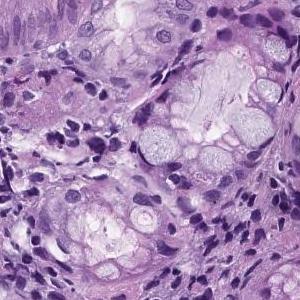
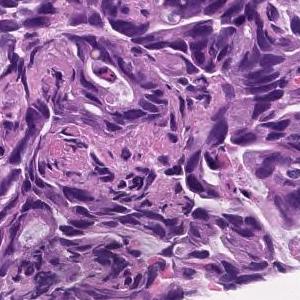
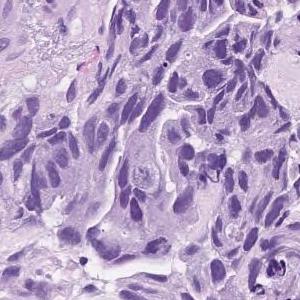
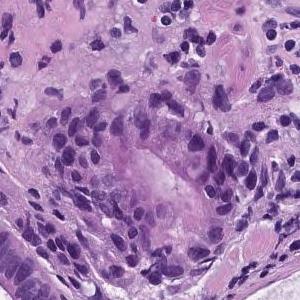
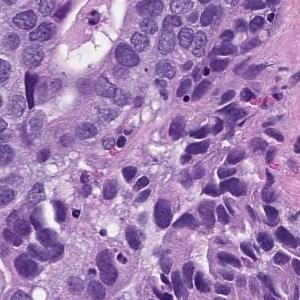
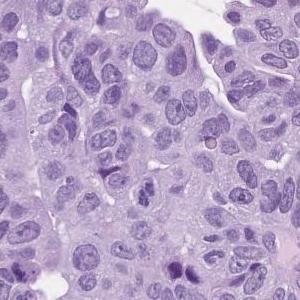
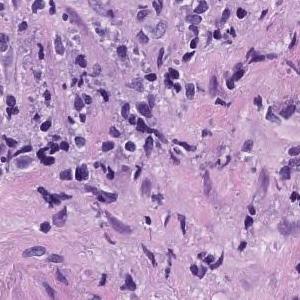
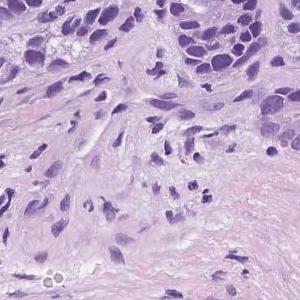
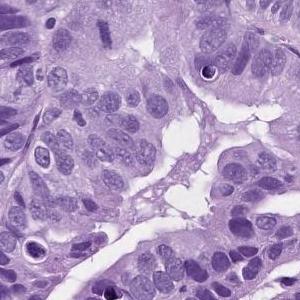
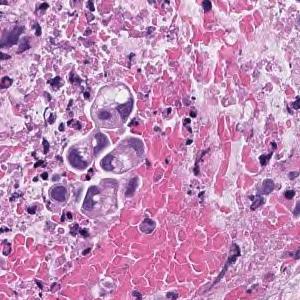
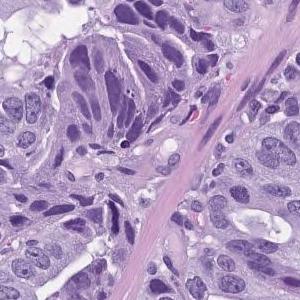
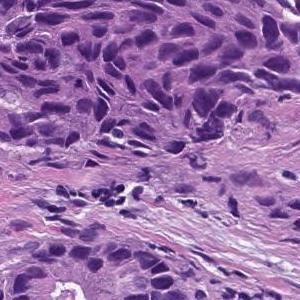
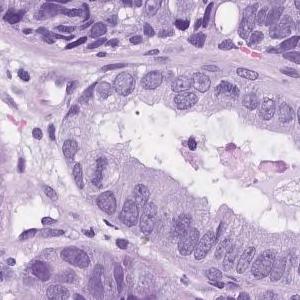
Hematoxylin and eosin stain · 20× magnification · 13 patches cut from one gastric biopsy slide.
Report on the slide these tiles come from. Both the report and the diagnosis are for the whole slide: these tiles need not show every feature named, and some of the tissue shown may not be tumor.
In the superficial epithelium, tumor tissue that invades by forming medium-sized to small, irregular ducts is observed. moderately differentiated tubular adenocarcinoma.
